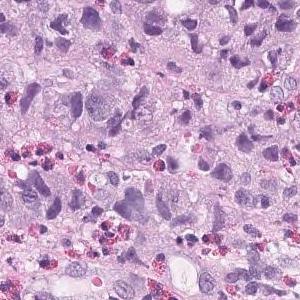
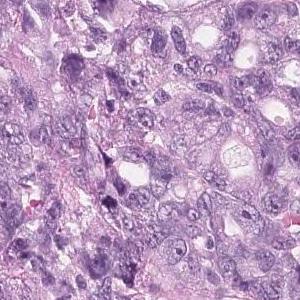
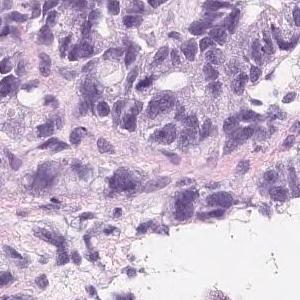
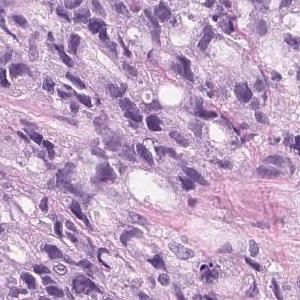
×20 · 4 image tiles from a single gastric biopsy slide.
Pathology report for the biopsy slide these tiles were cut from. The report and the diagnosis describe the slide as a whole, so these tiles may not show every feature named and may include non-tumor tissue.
Tumor tissue that infiltrates and proliferates by forming small glandular cavities in the superficial layer to the submucosa or forming a mass is observed. moderately differentiated tubular adenocarcinoma
